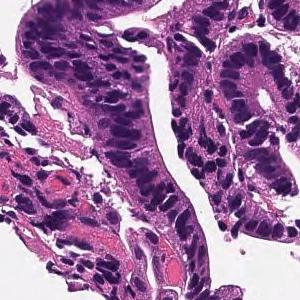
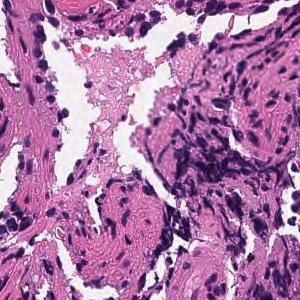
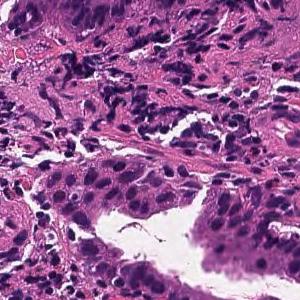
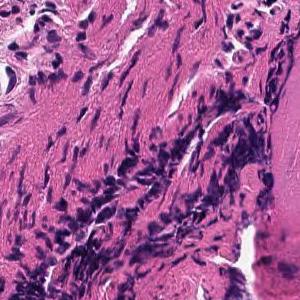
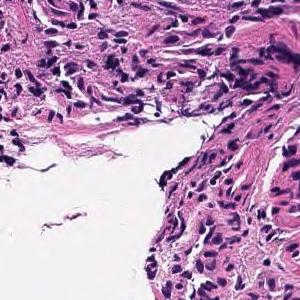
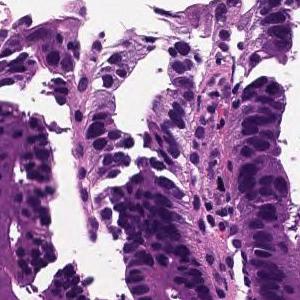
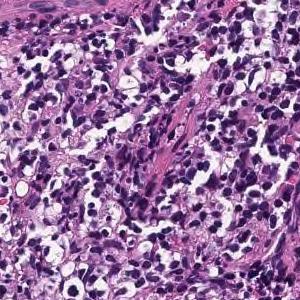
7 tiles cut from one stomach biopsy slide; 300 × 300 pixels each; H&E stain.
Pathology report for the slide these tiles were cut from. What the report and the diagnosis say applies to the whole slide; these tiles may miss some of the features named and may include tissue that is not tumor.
Tumor cells are large, highly columnar, large club-shaped nuclei, and are associated with chromatin aggregation. Papillary adenocarcinoma.
